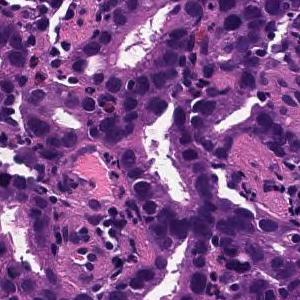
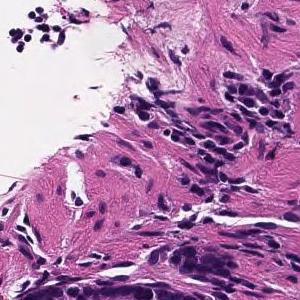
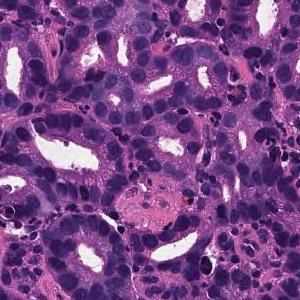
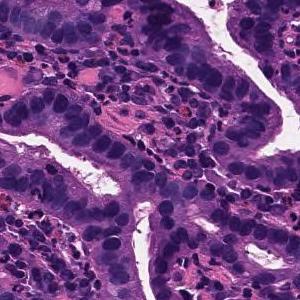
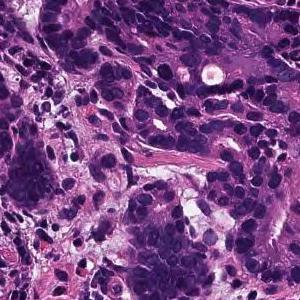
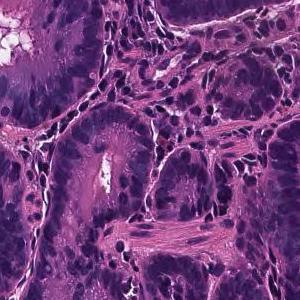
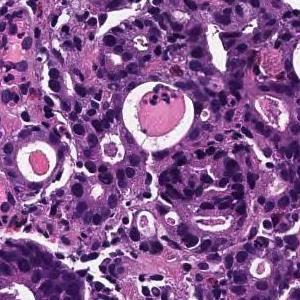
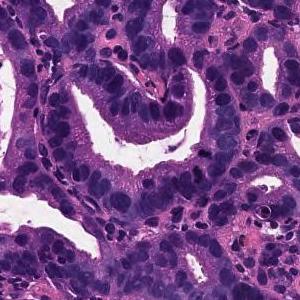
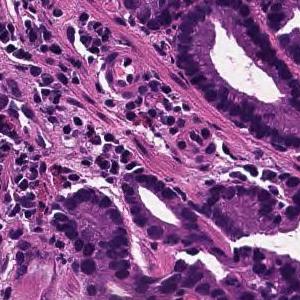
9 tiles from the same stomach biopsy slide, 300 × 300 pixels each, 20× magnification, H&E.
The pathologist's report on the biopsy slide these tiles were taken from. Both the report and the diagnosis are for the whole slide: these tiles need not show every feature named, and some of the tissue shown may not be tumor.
On the superficial epithelium, tumor tissue is found in which medium-sized irregular gland ducts fuse with each other and infiltrate. moderately differentiated tubular adenocarcinoma
